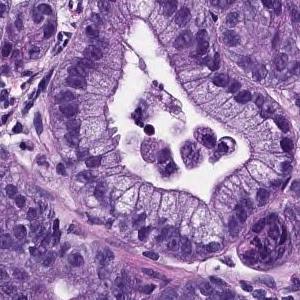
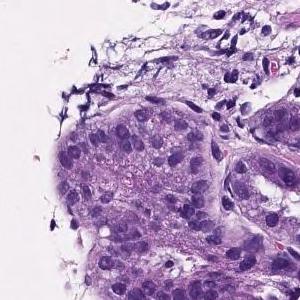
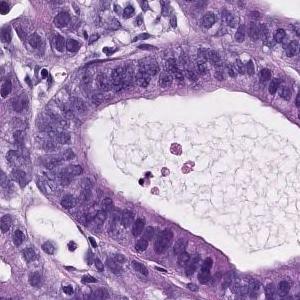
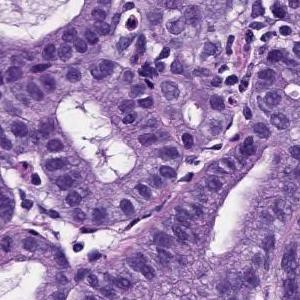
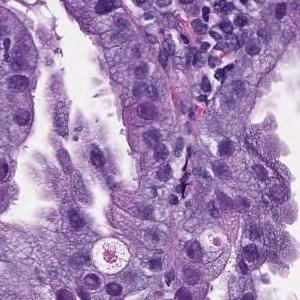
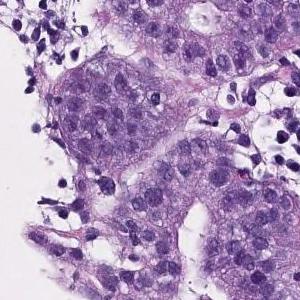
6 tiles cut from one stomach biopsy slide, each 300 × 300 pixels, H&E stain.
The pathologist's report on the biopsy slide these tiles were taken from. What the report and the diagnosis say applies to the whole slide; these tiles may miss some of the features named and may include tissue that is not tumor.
On the superficial epithelium, tumor tissue that infiltrates by forming medium-sized papillary or small irregular ducts is observed. Papillary adenocarcinoma
